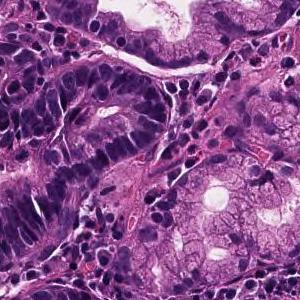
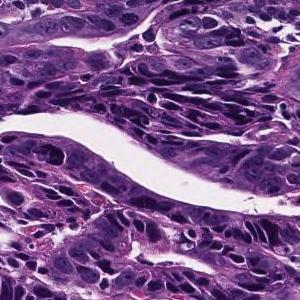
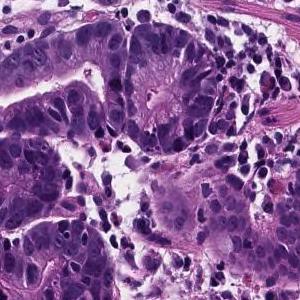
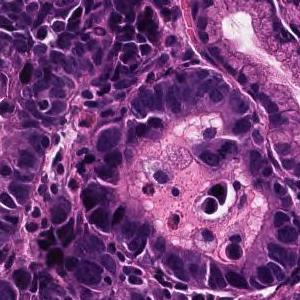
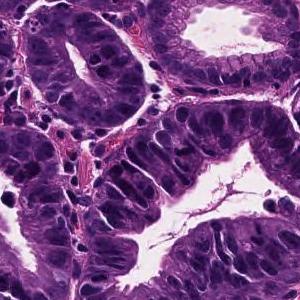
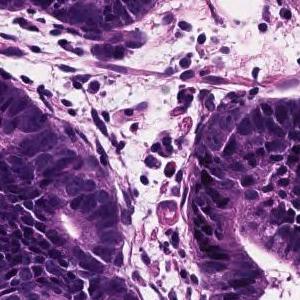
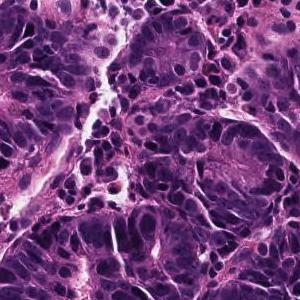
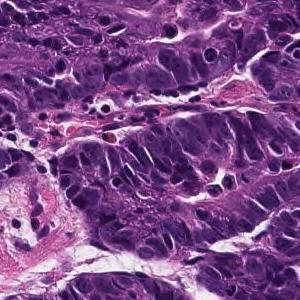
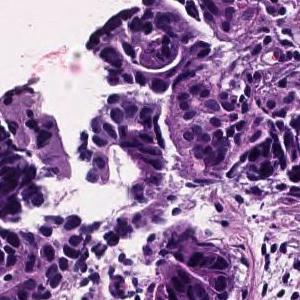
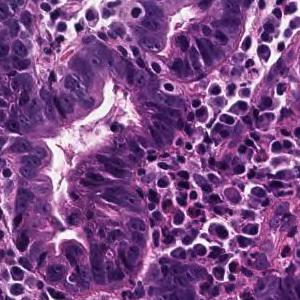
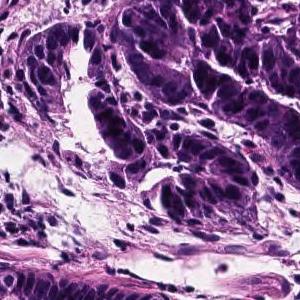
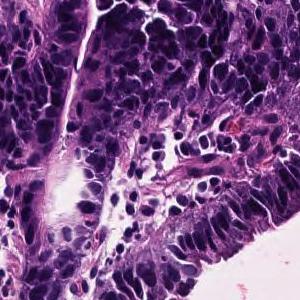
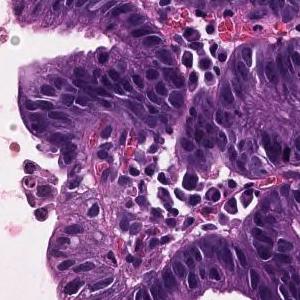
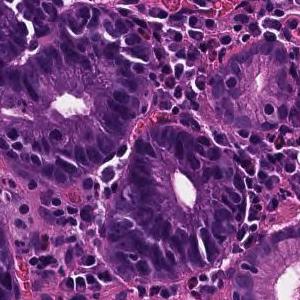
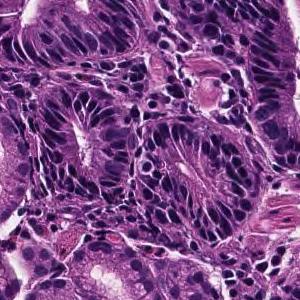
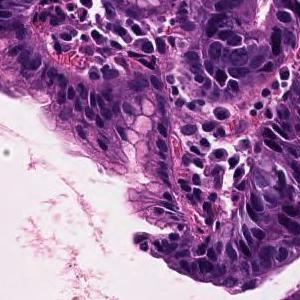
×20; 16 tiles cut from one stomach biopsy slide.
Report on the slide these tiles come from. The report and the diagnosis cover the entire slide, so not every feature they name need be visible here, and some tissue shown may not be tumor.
On the superficial epithelium, tumor tissue consisting of growth of medium-sized to large-sized, round or irregular glandular ducts is observed. Well differentiated tubular adenocarcinoma
